Hematoxylin and eosin stain · 7 image tiles from a single gastric biopsy slide · 300 × 300 pixels each.
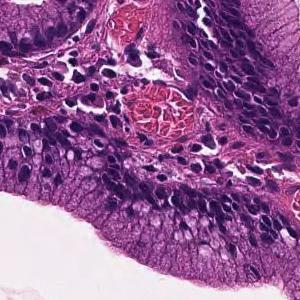
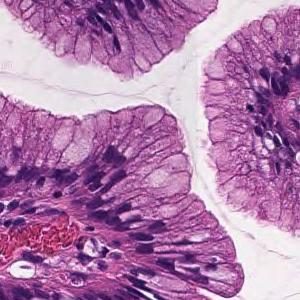
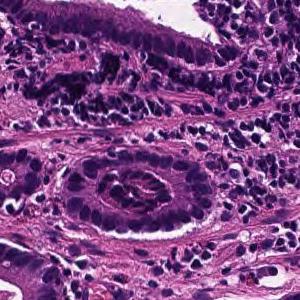
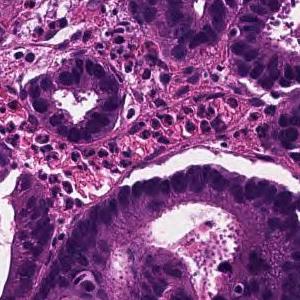
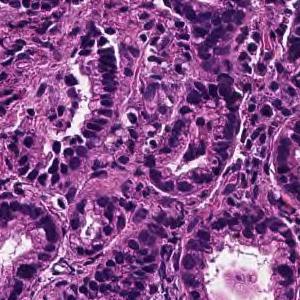
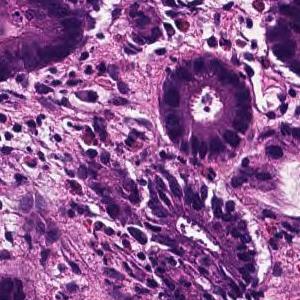
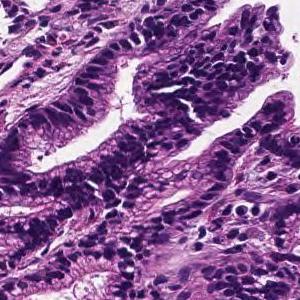
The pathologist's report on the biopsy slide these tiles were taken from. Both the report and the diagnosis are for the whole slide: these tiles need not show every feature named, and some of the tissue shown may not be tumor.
On the superficial epithelium, tumor tissue consisting of medium-sized and irregular glandular ducts partially fused and infiltrated is observed. Well to moderately differentiated tubular adenocarcinoma (well differentiated tubular adenocarcinoma-moderately differentiated tubular adenocarcinoma)
Subtype: Well to moderately differentiated tubular adenocarcinoma.
